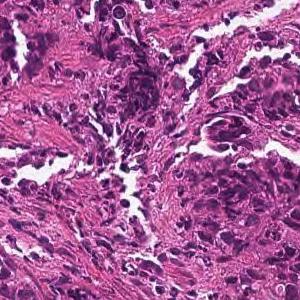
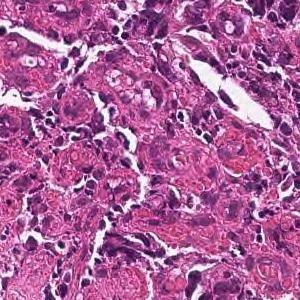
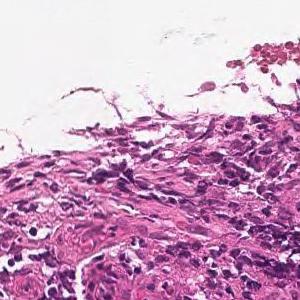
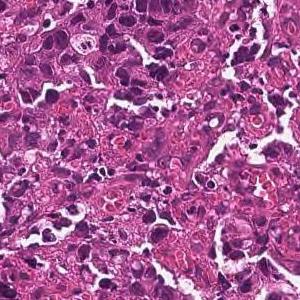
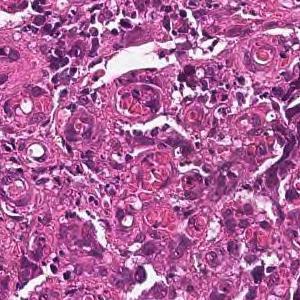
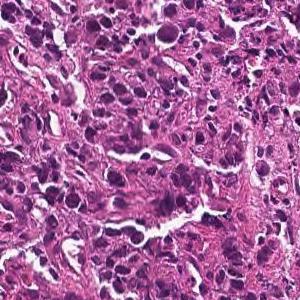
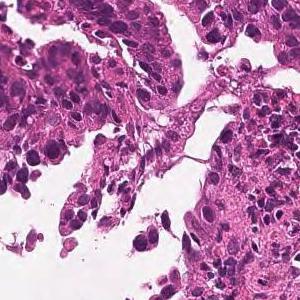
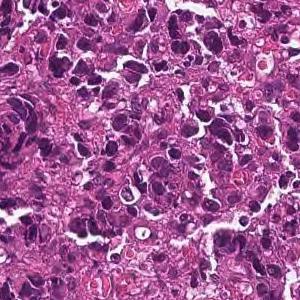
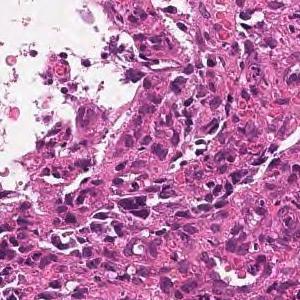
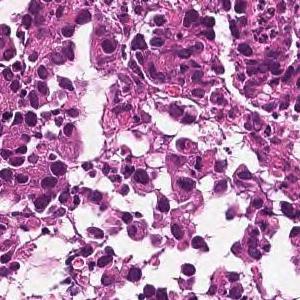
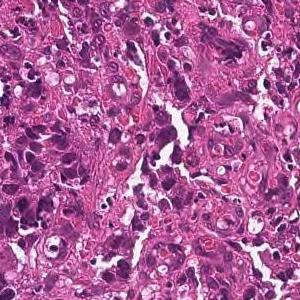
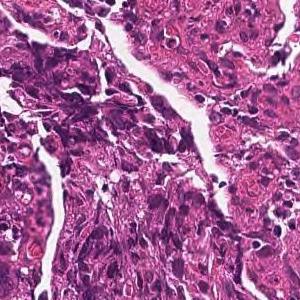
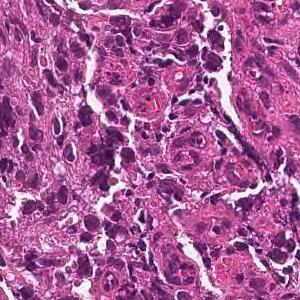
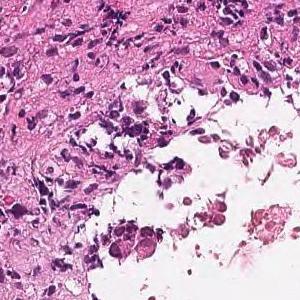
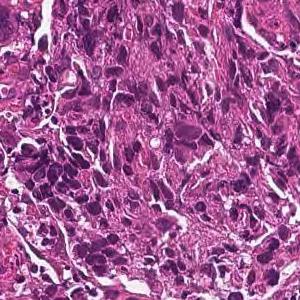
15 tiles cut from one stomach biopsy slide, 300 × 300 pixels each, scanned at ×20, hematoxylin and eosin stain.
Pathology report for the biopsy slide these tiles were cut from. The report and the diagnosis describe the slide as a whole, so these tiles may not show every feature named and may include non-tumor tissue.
Tumor tissue consisting of medium-sized, cord-like or irregular glandular infiltration is observed in the superficial epithelium. Poorly differentiated adenocarcinoma, non-solid type or moderately differentiated tubular adenocarcinoma
Histological subtype: Moderately to poorly differentiated adenocarcinoma.
"Non-solid type" is a category of the Japanese Classification of Gastric Carcinoma.
